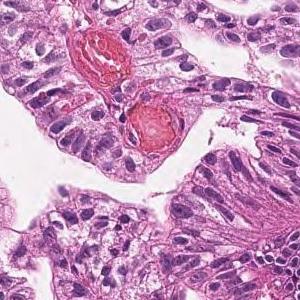
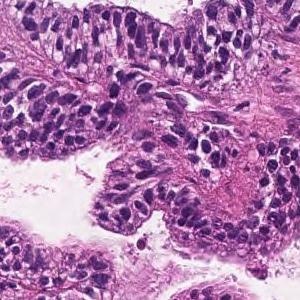
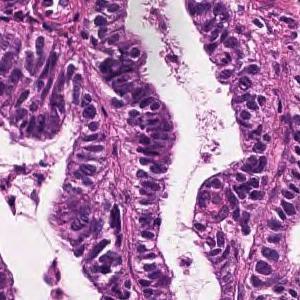
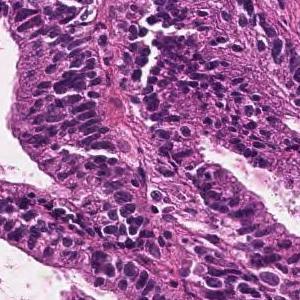
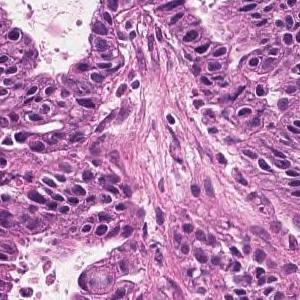
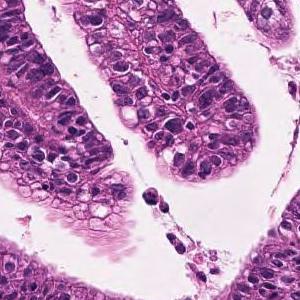
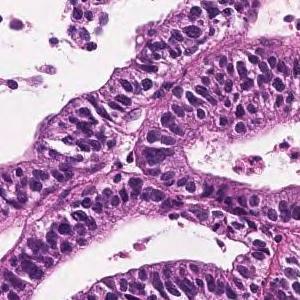
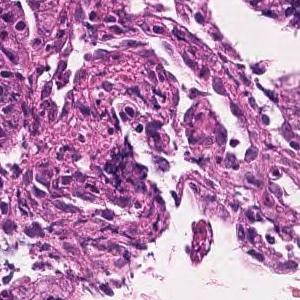
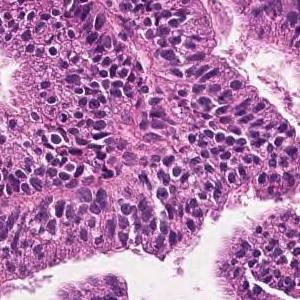
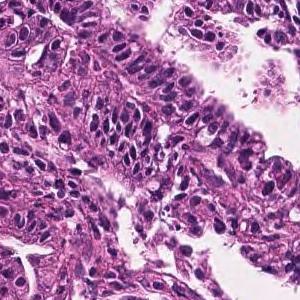
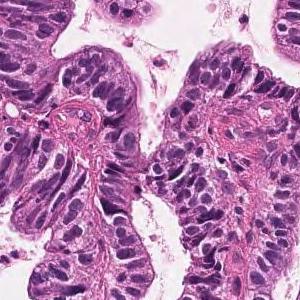
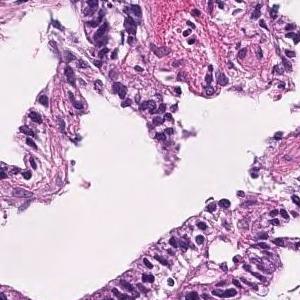
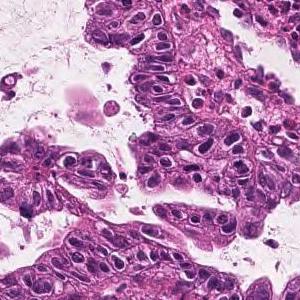
13 patches cut from one gastric biopsy slide; 300 × 300 pixels each.
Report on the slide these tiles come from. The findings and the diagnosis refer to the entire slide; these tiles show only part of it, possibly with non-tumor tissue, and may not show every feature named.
Tumor cells are large, highly columnar, large club-shaped nuclei, and are associated with chromatin aggregation. Papillary adenocarcinoma.
